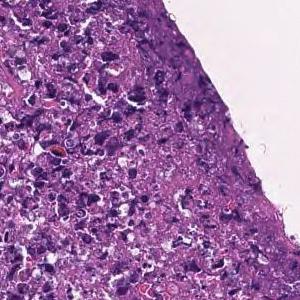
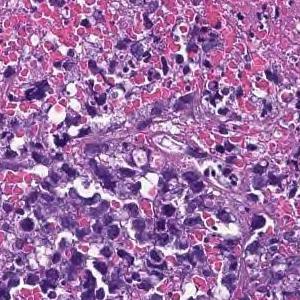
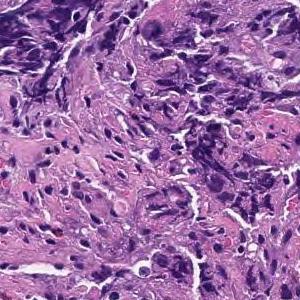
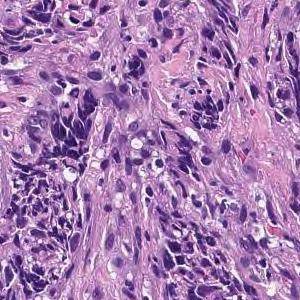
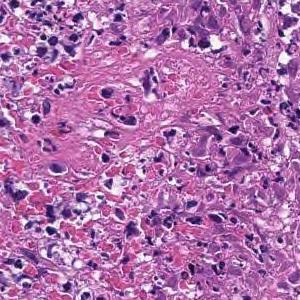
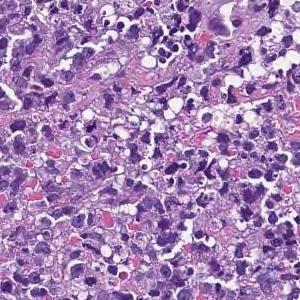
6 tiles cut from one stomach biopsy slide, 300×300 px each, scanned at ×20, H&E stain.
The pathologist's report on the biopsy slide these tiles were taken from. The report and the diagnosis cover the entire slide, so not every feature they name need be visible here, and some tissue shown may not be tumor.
Most are composed of coagulative necrotic tissue, but some show a large sheet-like shape, and some show tumor tissue infiltrating with a small cord-like structure. Poorly differentiated adenocarcinoma, solid-type
Histological subtype: Poorly differentiated adenocarcinoma, solid type (Japanese Classification of Gastric Carcinoma). The WHO 2019 equivalent is tubular adenocarcinoma, poorly differentiated.
